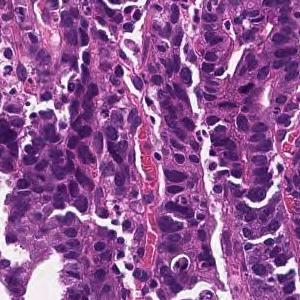
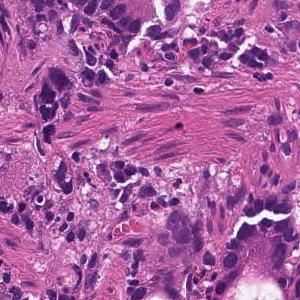
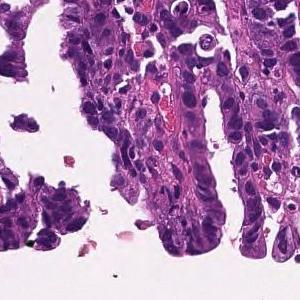
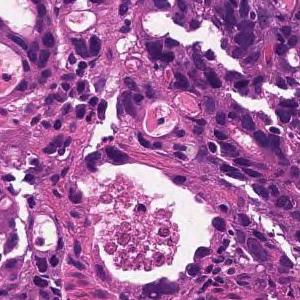
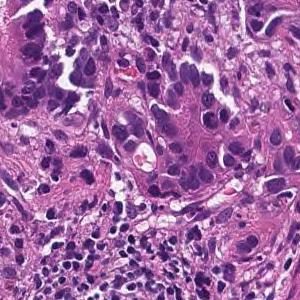
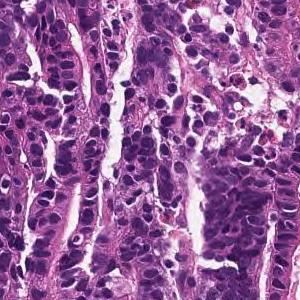
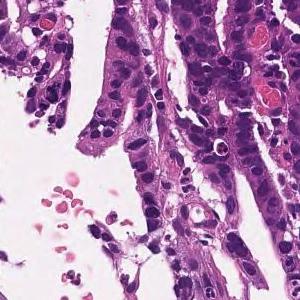
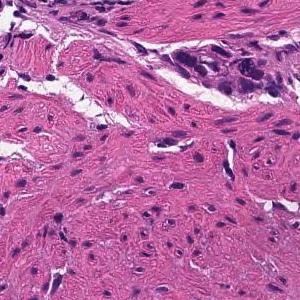
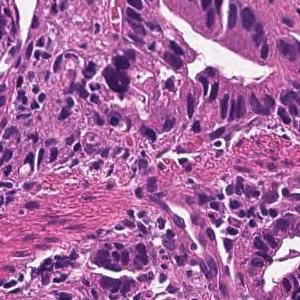
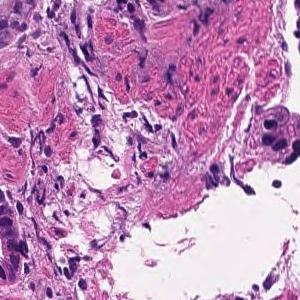
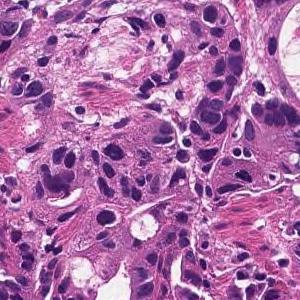
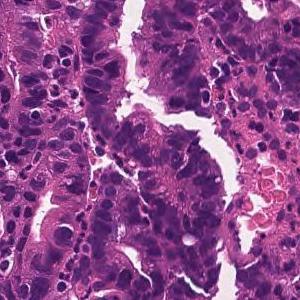
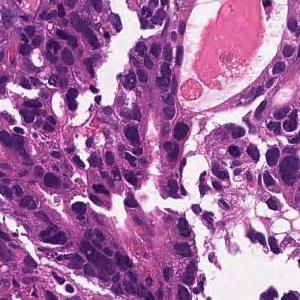
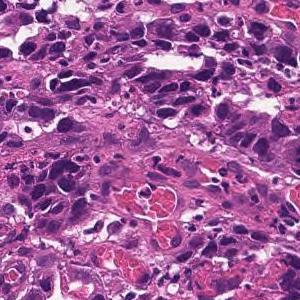
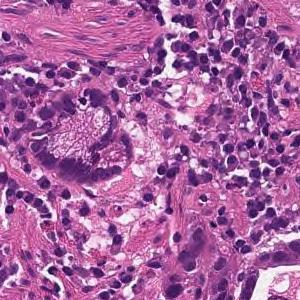
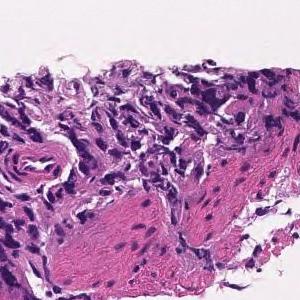
H&E · 16 image tiles from a single gastric biopsy slide · each 300 × 300 pixels.
Pathology report for the biopsy slide these tiles were cut from. What the report and the diagnosis say applies to the whole slide; these tiles may miss some of the features named and may include tissue that is not tumor.
In the superficial epithelium, tumor tissue that invades by forming medium-sized to small, irregular ducts is observed. moderately differentiated tubular adenocarcinoma.
